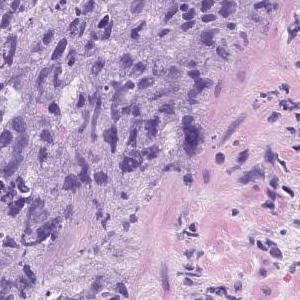
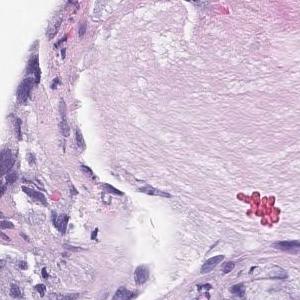
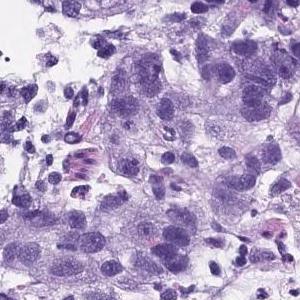
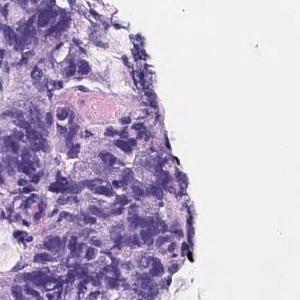
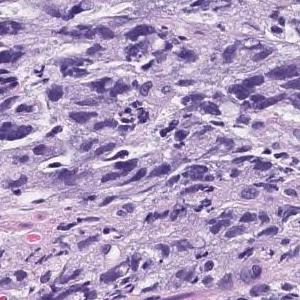
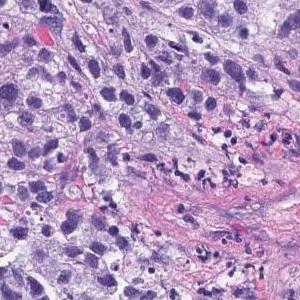
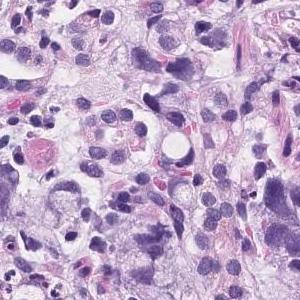
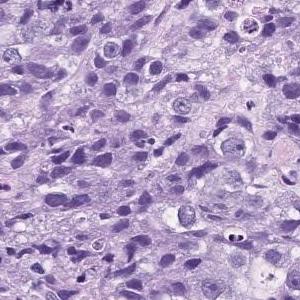
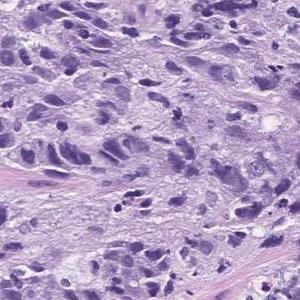
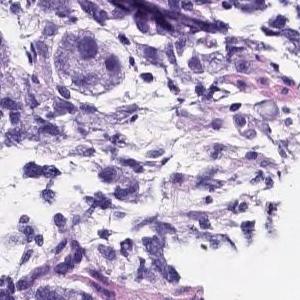
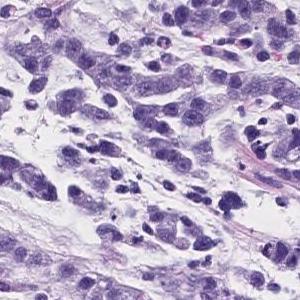
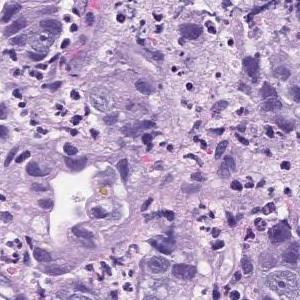
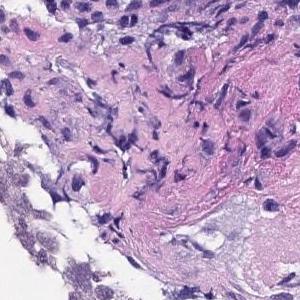
H&E, ×20, 13 tiles cut from one stomach biopsy slide, 300×300 px each.
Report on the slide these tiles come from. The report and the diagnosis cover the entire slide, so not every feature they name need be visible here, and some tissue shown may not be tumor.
Atypical l cells with atypical nuclei forming solid vesicles or small irregular atypical ducts that proliferate in a complex manner. poorly differentiated adenocarcinoma, solid type, moderately differentiated tubular adenocarcinoma
"Solid type" is a category of the Japanese Classification of Gastric Carcinoma; in the WHO 2019 classification it is tubular adenocarcinoma, poorly differentiated.
